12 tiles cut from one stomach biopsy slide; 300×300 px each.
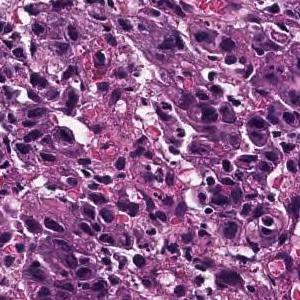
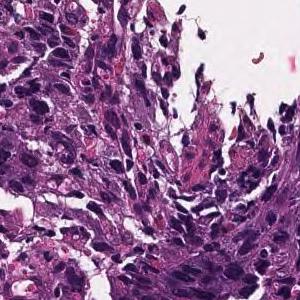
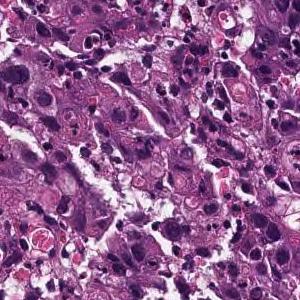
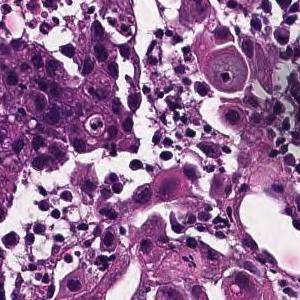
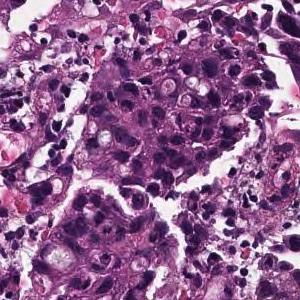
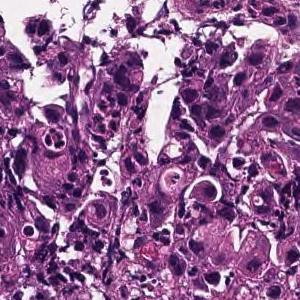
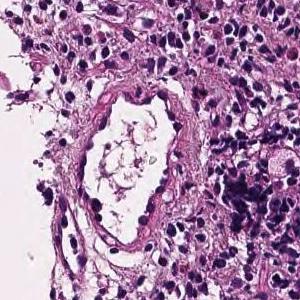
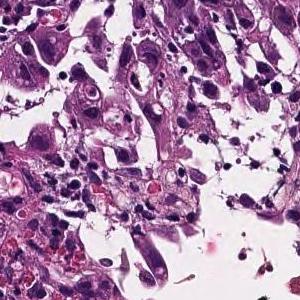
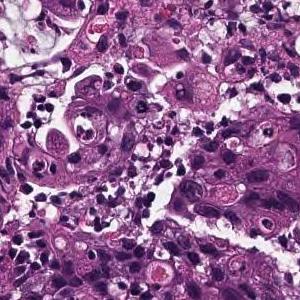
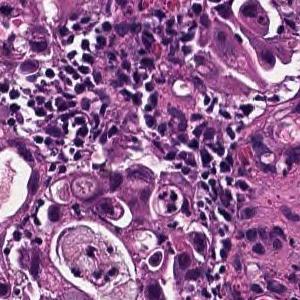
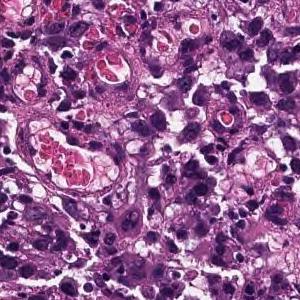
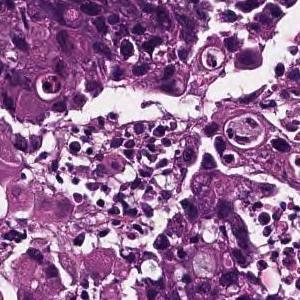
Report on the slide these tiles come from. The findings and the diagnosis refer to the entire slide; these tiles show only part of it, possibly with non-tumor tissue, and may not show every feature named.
The superficial epithelium shows a large sheet-like shape, and some tumor tissue infiltrates with small irregular ducts. Poorly differentiated adenocarcinoma, solid-type
Histologic type: Poorly differentiated adenocarcinoma, solid type (Japanese Classification of Gastric Carcinoma). The WHO 2019 equivalent is tubular adenocarcinoma, poorly differentiated.
